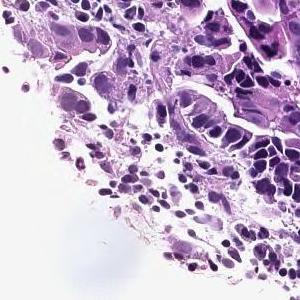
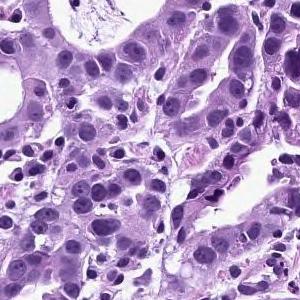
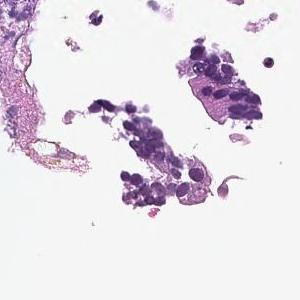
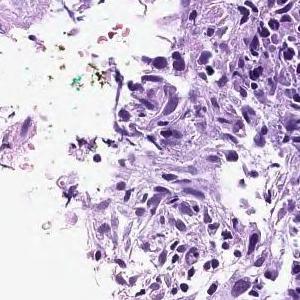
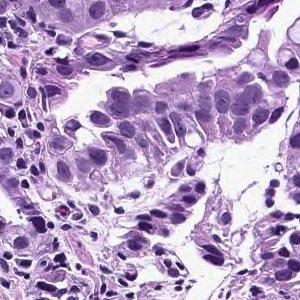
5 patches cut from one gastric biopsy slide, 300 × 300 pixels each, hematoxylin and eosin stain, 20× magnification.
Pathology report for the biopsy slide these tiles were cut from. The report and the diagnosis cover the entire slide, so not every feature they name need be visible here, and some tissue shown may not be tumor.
In the superficial epithelium, tumor tissue that invades by forming medium-sized to small, irregular ducts is observed. moderately differentiated tubular adenocarcinoma.
